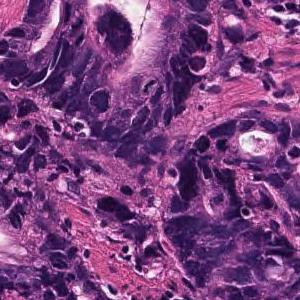
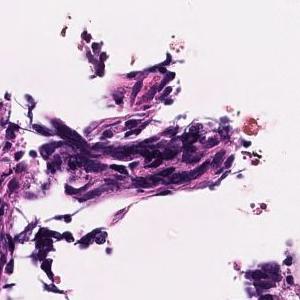
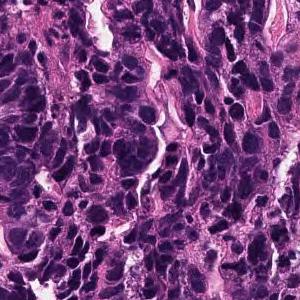
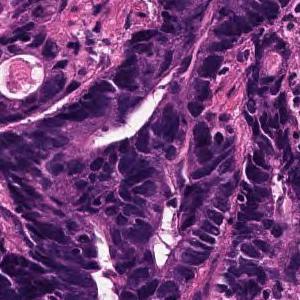
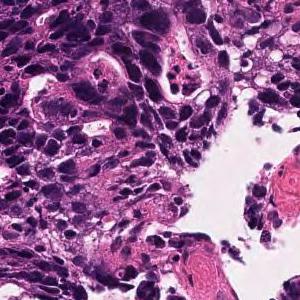
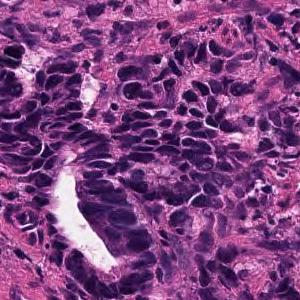
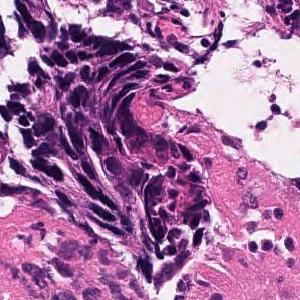
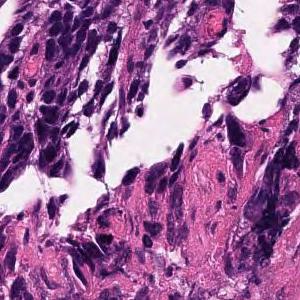
8 image tiles from a single gastric biopsy slide · H&E stain · 20× magnification.
Diagnostic report for the slide these tiles come from. The report and the diagnosis describe the slide as a whole, so these tiles may not show every feature named and may include non-tumor tissue.
Large and small irregular small glandular ducts forming and infiltrating. moderately differentiated tubular adenocarcinoma
